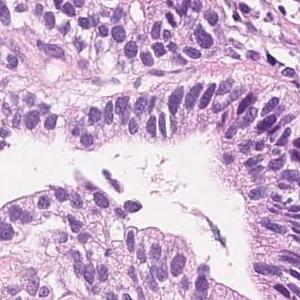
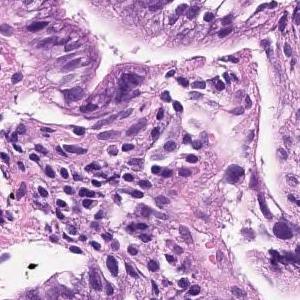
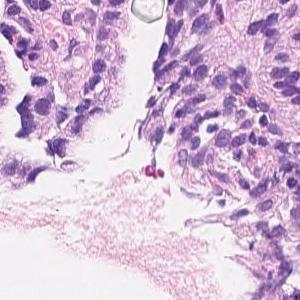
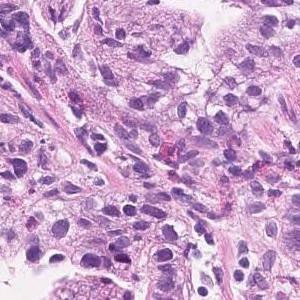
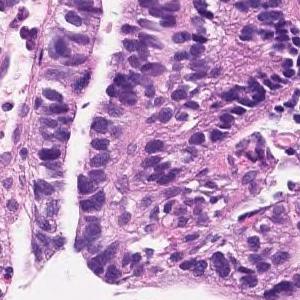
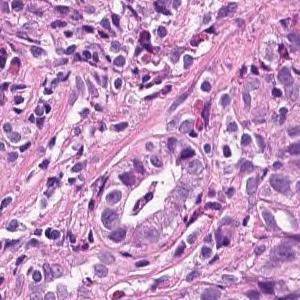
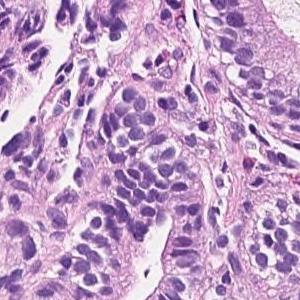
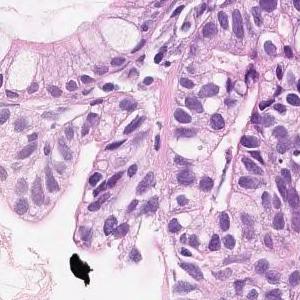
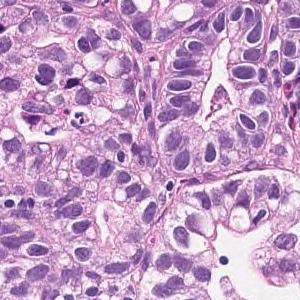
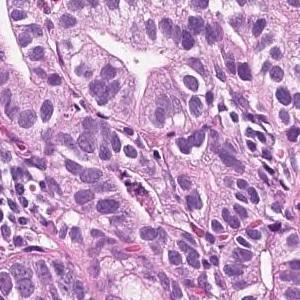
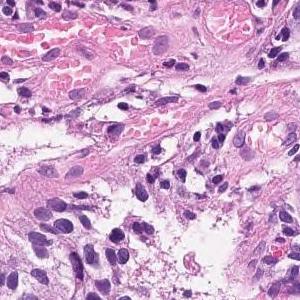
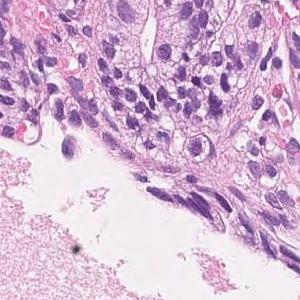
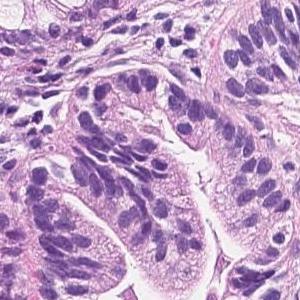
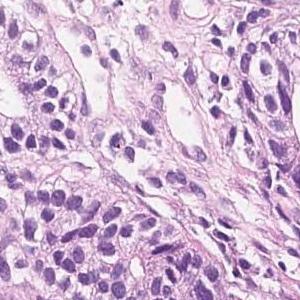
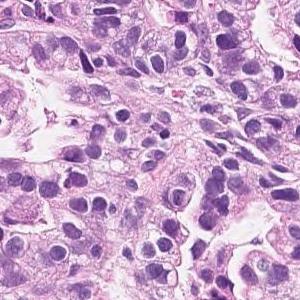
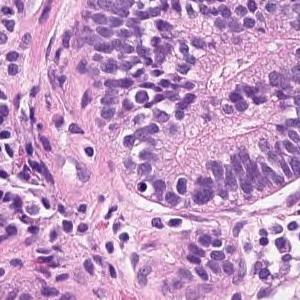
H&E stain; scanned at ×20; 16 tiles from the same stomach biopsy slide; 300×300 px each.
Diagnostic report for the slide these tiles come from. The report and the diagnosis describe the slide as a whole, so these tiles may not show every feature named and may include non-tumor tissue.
On the superficial epithelium, there is a tumor tissue consisting of medium to small, irregular tubules that are partially fused and proliferated. Well to moderately differentiated tubular adenocarcinoma
